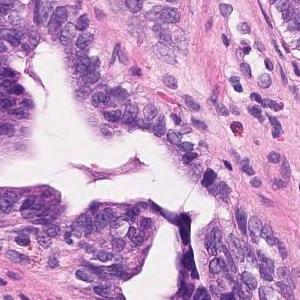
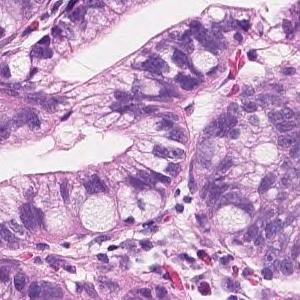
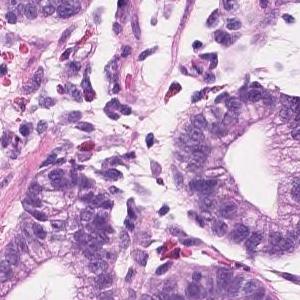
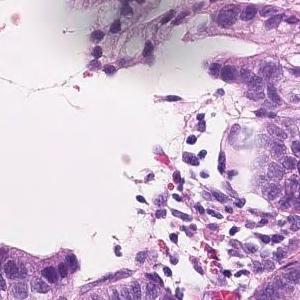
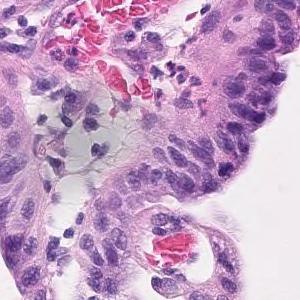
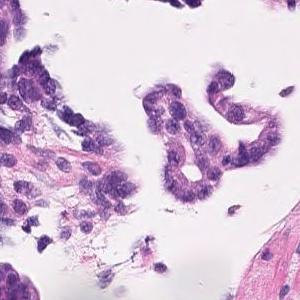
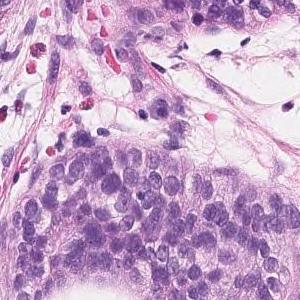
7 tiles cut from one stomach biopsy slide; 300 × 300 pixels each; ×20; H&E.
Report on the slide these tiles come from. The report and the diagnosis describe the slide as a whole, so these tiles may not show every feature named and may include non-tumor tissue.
Tumor cells are large, highly columnar, large club-shaped nuclei, and are associated with chromatin aggregation. Papillary adenocarcinoma.
